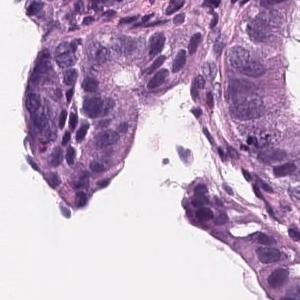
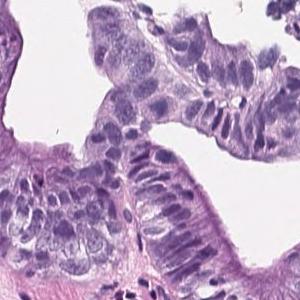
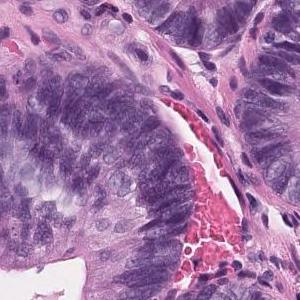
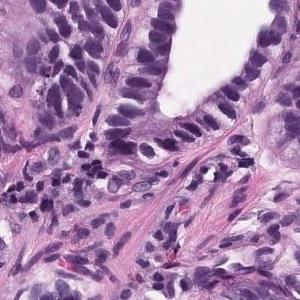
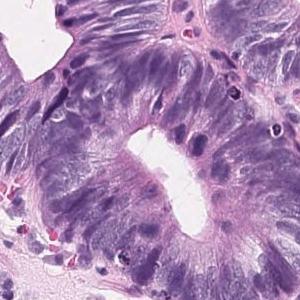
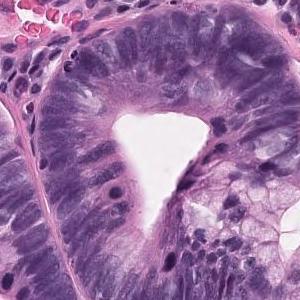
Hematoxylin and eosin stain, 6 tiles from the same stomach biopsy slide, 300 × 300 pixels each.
The pathologist's report on the biopsy slide these tiles were taken from. The findings and the diagnosis refer to the entire slide; these tiles show only part of it, possibly with non-tumor tissue, and may not show every feature named.
Tumor tissue consisting of medium-sized and irregular ducts is observed infiltrating in the superficial epithelium. Tumor cells are highly columnar, with nuclei aligned basolaterally and polarized. Well differentiated tubular adenocarcinoma.
